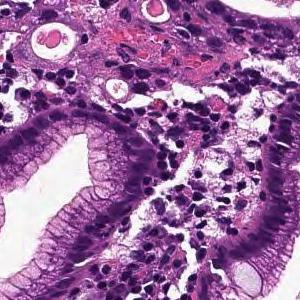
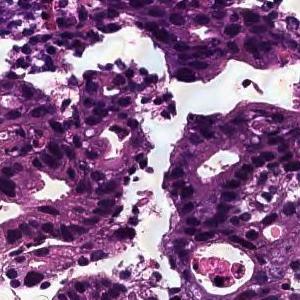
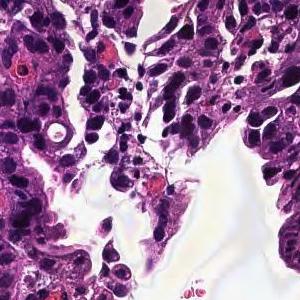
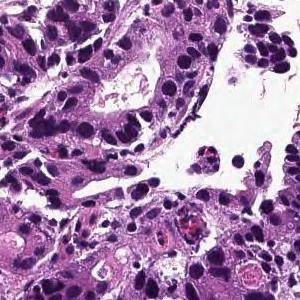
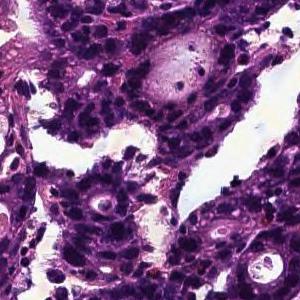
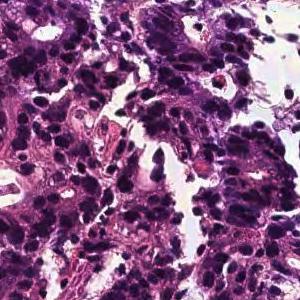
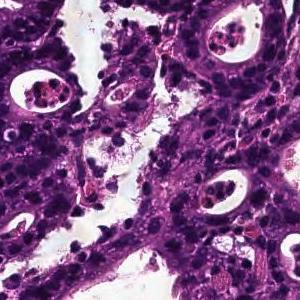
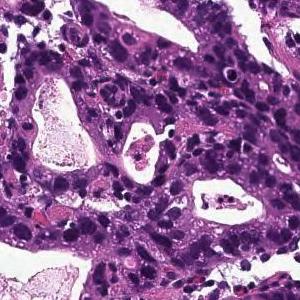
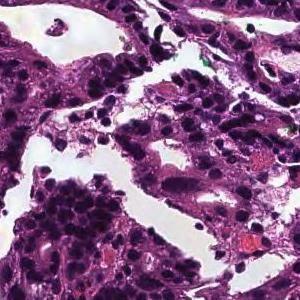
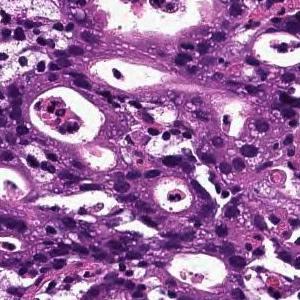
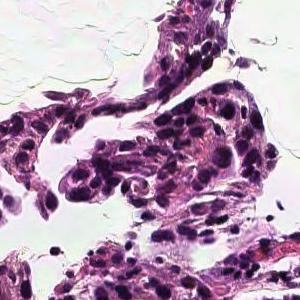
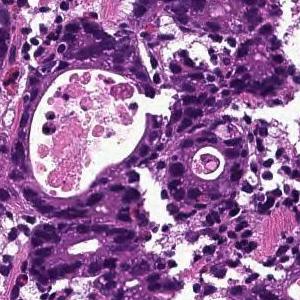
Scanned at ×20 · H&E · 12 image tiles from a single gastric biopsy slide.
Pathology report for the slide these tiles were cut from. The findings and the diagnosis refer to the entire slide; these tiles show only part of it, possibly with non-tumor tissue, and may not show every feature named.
In the superficial epithelium, tumor tissue that invades by forming medium-sized to small, irregular ducts is observed. moderately differentiated tubular adenocarcinoma.
